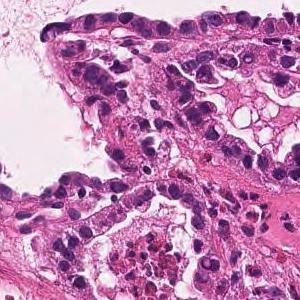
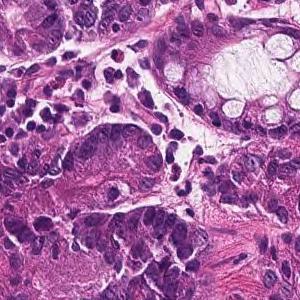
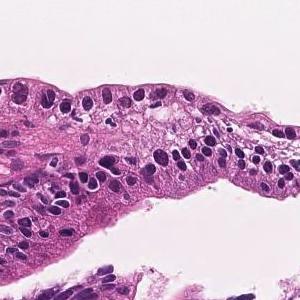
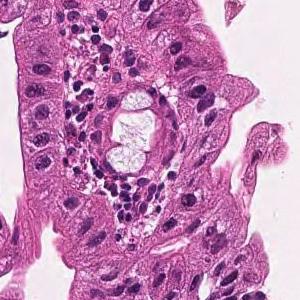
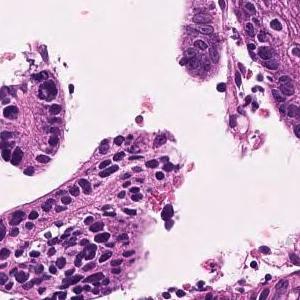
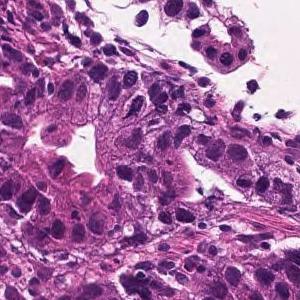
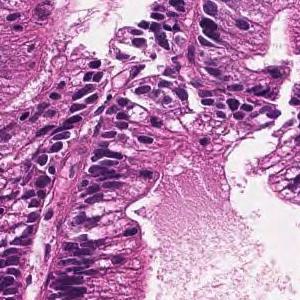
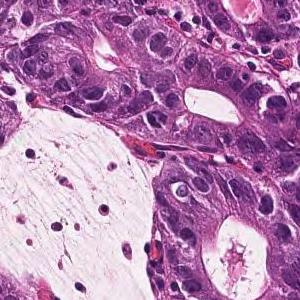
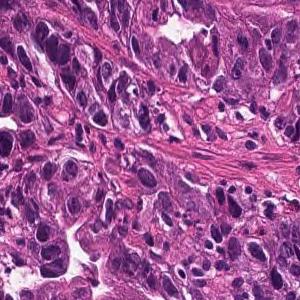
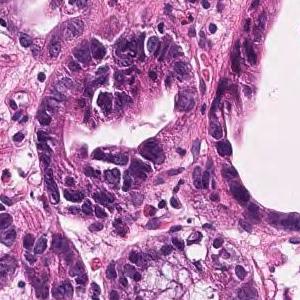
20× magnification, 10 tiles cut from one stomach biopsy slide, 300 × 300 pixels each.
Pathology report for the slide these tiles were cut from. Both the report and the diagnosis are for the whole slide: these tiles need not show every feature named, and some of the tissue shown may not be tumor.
In the superficial epithelium, tumor tissue that invades by forming medium-sized to small, irregular ducts is observed. moderately differentiated tubular adenocarcinoma.
